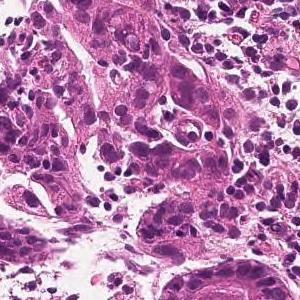
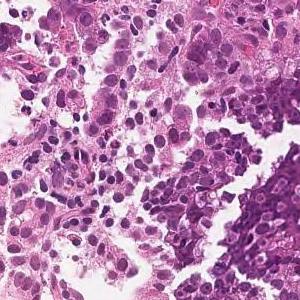
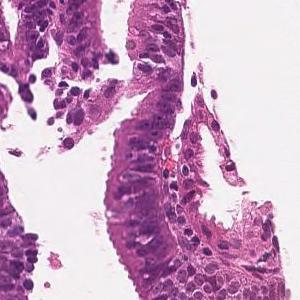
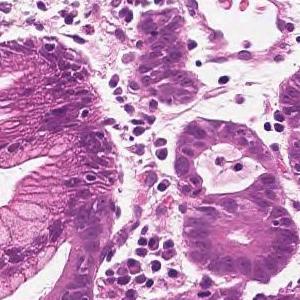
4 tiles from the same stomach biopsy slide, 300 × 300 pixels each, H&E.
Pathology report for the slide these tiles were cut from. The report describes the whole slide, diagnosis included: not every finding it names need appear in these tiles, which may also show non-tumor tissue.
On the superficial epithelium, tumor tissue is found in which medium-sized irregular gland ducts fuse with each other and infiltrate. moderately differentiated tubular adenocarcinoma
